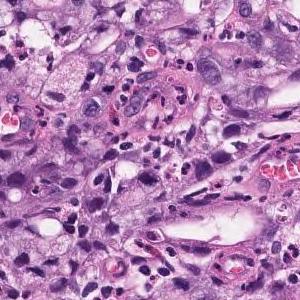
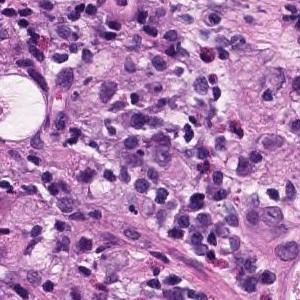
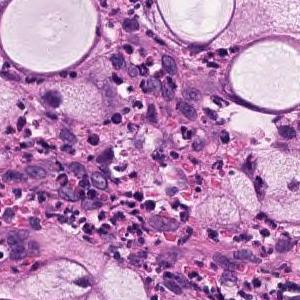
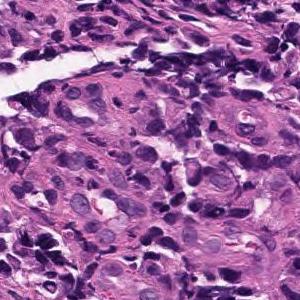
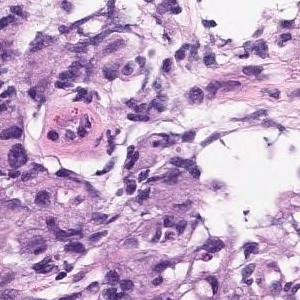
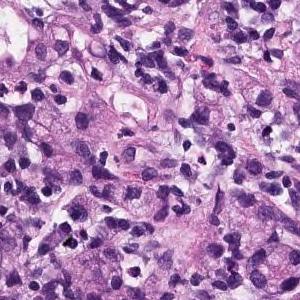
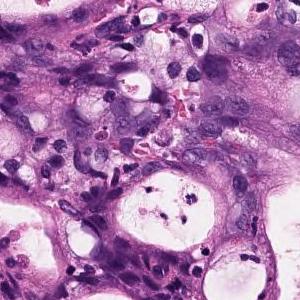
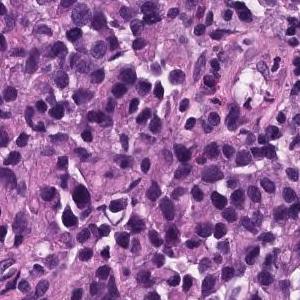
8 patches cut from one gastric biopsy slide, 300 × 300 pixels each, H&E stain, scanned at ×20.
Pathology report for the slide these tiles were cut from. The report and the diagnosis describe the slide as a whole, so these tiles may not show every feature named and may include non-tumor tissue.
Atypical epithelium forms irregularly fused gland ducts and proliferates. Poorly differentiated adenocarcinoma.
Classified as poorly differentiated adenocarcinoma, non-solid type.
"Non-solid type" is a category of the Japanese Classification of Gastric Carcinoma.
